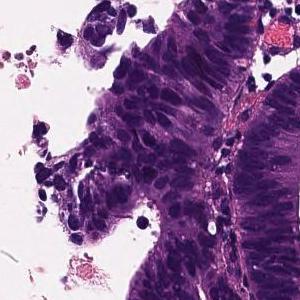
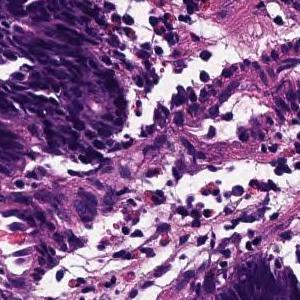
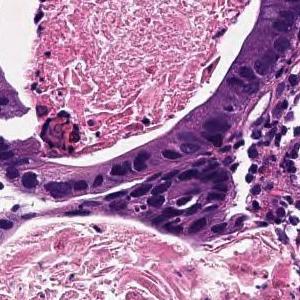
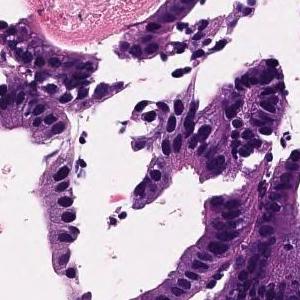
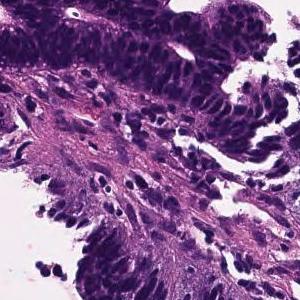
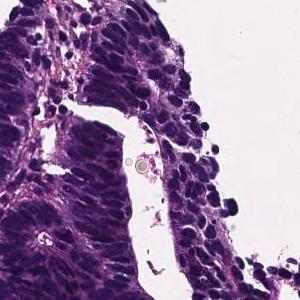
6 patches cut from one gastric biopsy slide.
Diagnostic report for the slide these tiles come from. The report describes the whole slide, diagnosis included: not every finding it names need appear in these tiles, which may also show non-tumor tissue.
In the superficial epithelium, tumor tissue that invades by forming medium-sized to small, irregular ducts is observed. moderately differentiated tubular adenocarcinoma.
